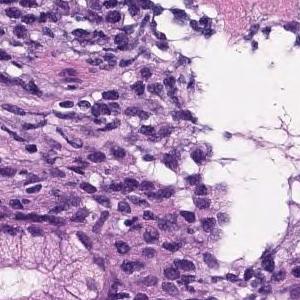
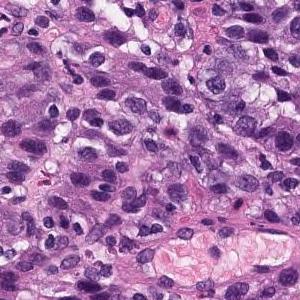
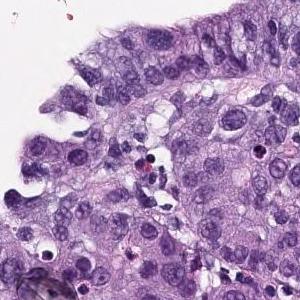
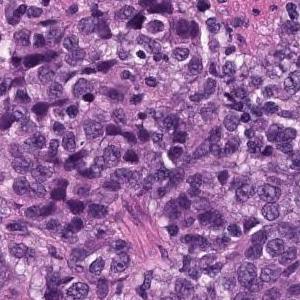
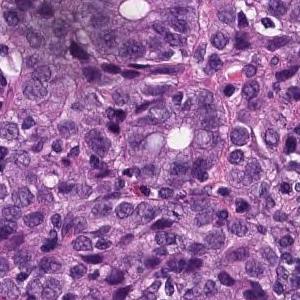
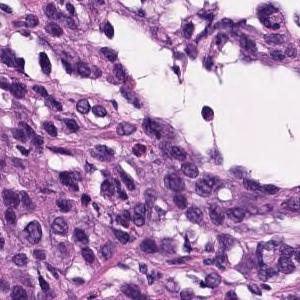
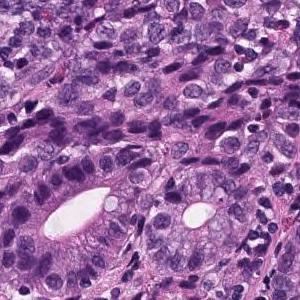
7 tiles from the same stomach biopsy slide, 20× magnification, H&E stain.
Pathology report for the biopsy slide these tiles were cut from. The report and the diagnosis cover the entire slide, so not every feature they name need be visible here, and some tissue shown may not be tumor.
In the superficial epithelium, tumor tissue that invades by forming medium-sized to small, irregular ducts is observed. Moderately differentiated adenocarcinoma.
Histological subtype: Moderately differentiated tubular adenocarcinoma.
